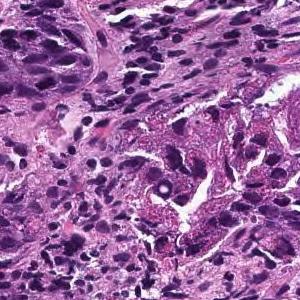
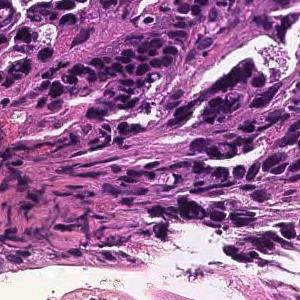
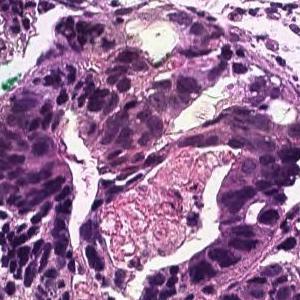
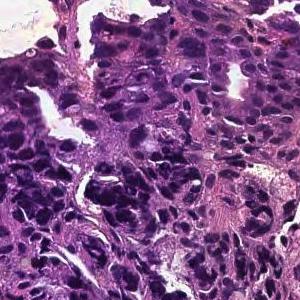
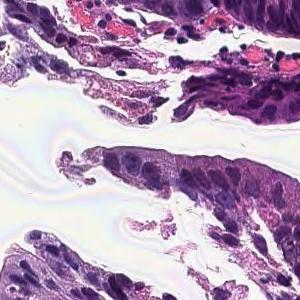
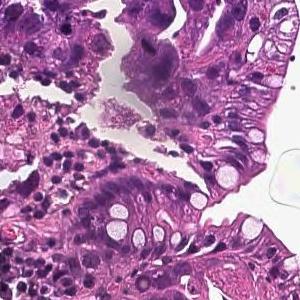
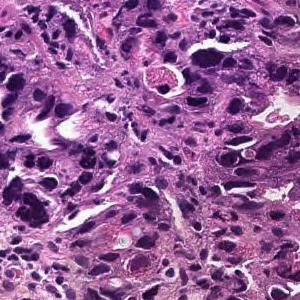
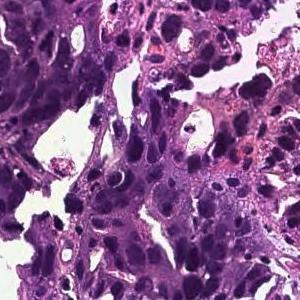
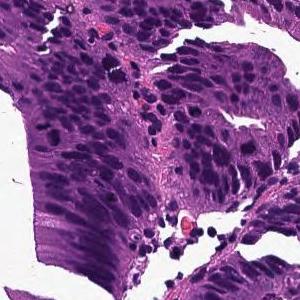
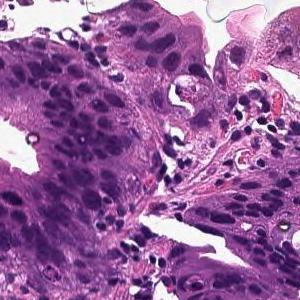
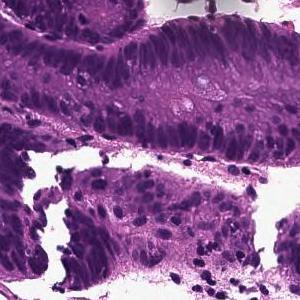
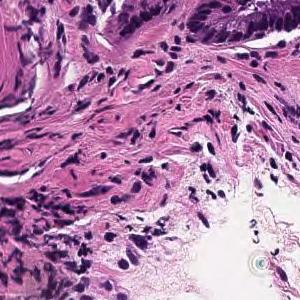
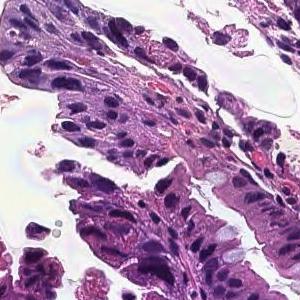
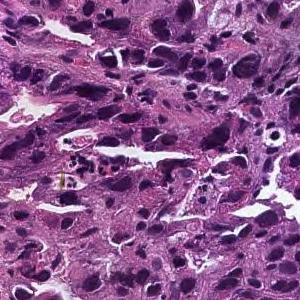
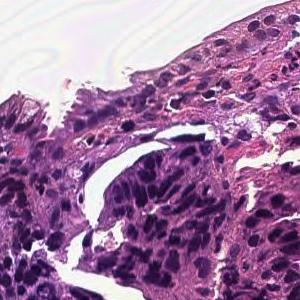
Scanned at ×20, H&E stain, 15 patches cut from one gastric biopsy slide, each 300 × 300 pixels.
The pathologist's report on the biopsy slide these tiles were taken from. Both the report and the diagnosis are for the whole slide: these tiles need not show every feature named, and some of the tissue shown may not be tumor.
In the superficial epithelium, tumor tissue that invades by forming medium-sized to small, irregular ducts is observed. moderately differentiated tubular adenocarcinoma.
